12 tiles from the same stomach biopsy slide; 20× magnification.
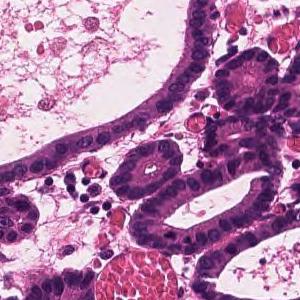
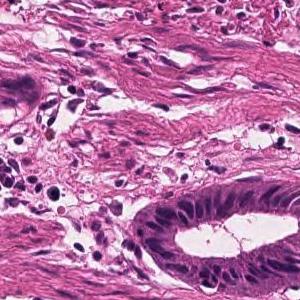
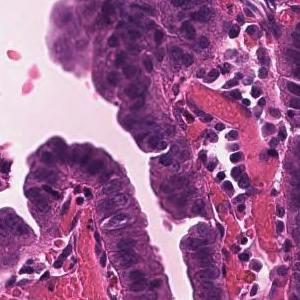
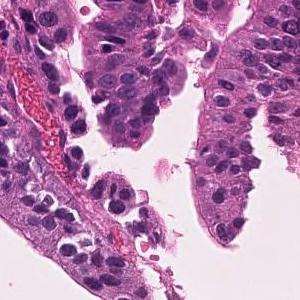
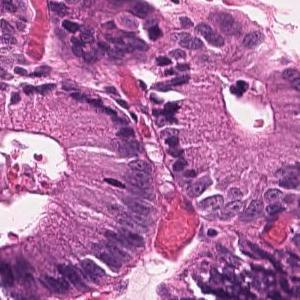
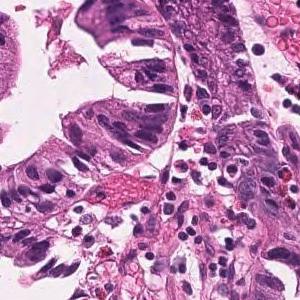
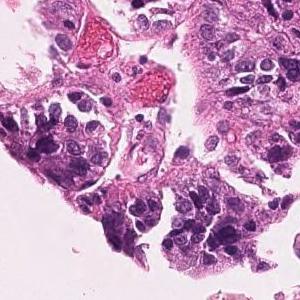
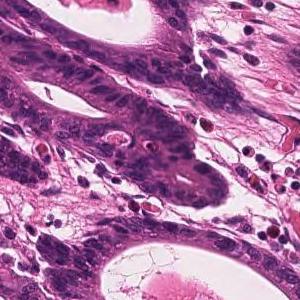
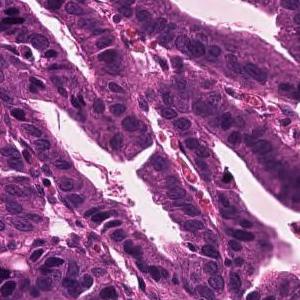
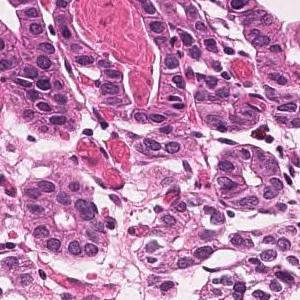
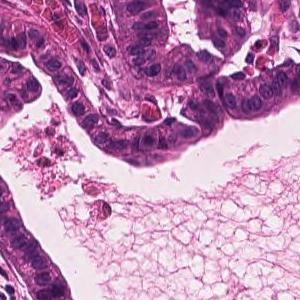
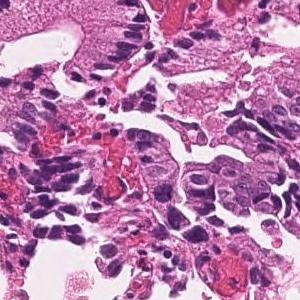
Report on the slide these tiles come from. The findings and the diagnosis refer to the entire slide; these tiles show only part of it, possibly with non-tumor tissue, and may not show every feature named.
Infiltrating tumor tissue with medium-sized, irregular ductal structure or large papillary appearance is observed. Well differentiated tubular adenocarcinoma
